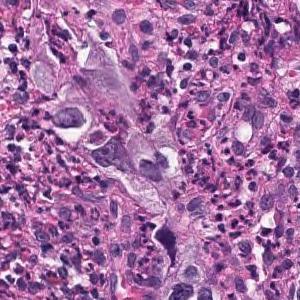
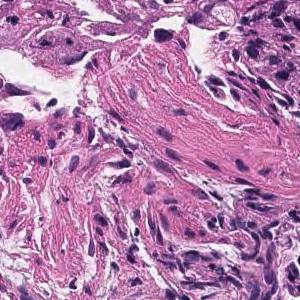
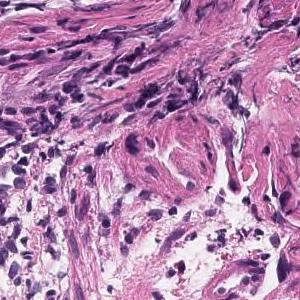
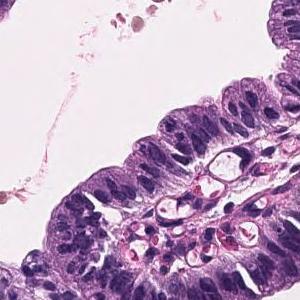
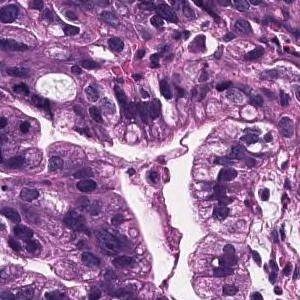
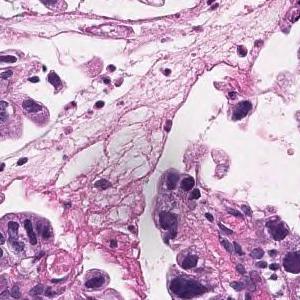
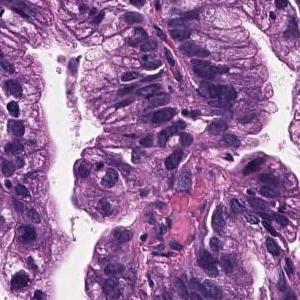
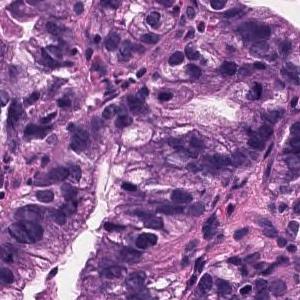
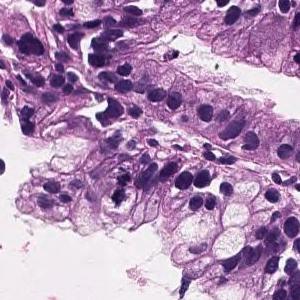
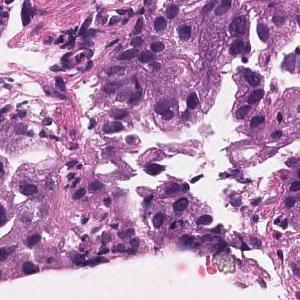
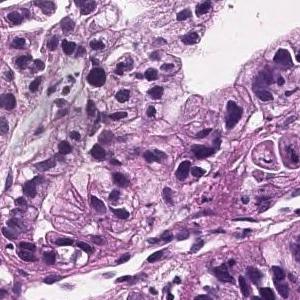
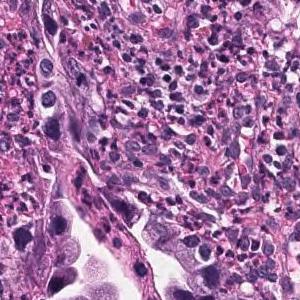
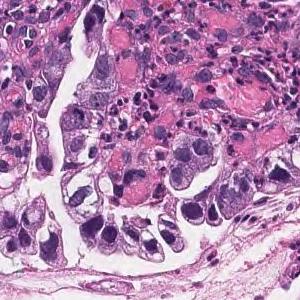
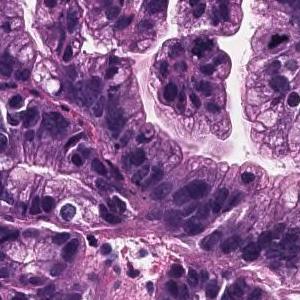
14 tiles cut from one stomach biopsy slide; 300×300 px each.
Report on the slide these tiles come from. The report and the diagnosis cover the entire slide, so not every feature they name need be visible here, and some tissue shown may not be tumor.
Tumor cells are large, highly columnar, large club-shaped nuclei, and are associated with chromatin aggregation. Papillary adenocarcinoma.
